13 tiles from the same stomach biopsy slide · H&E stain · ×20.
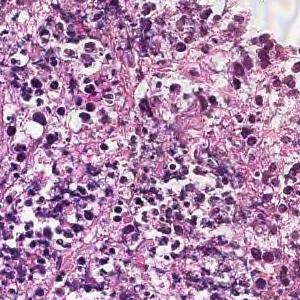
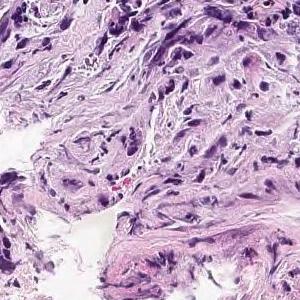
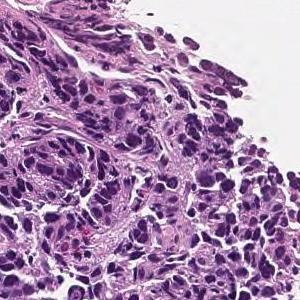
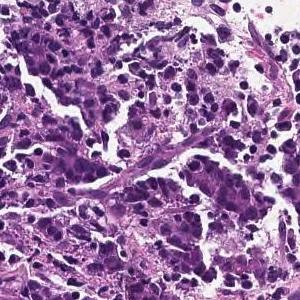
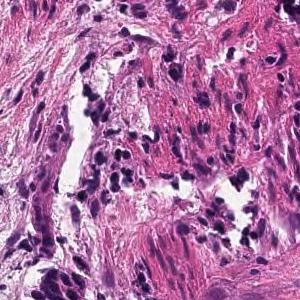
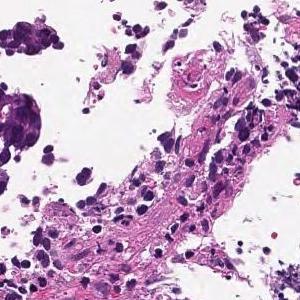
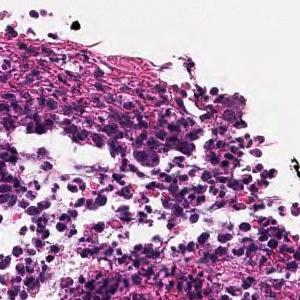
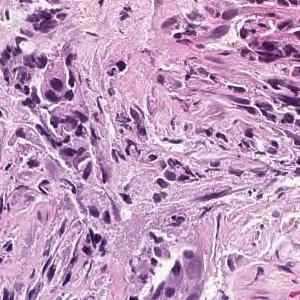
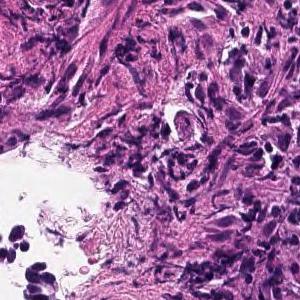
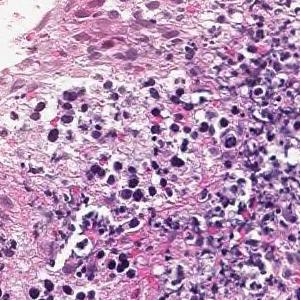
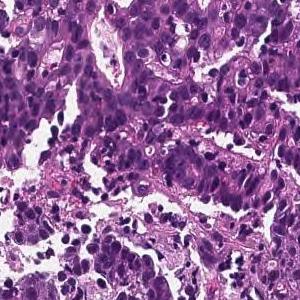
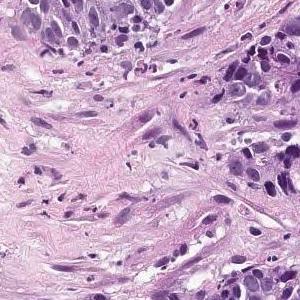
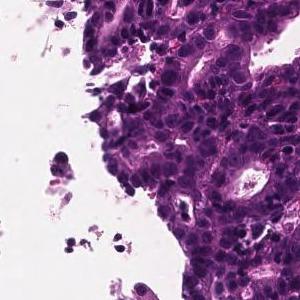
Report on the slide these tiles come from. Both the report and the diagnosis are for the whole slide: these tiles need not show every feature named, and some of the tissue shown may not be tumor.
In the superficial epithelium, tumor tissue that invades by forming medium-sized to small, irregular ducts is observed. moderately differentiated tubular adenocarcinoma.
